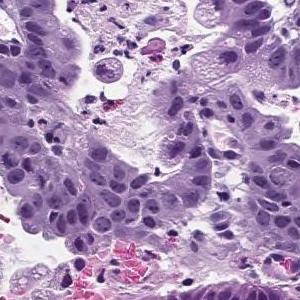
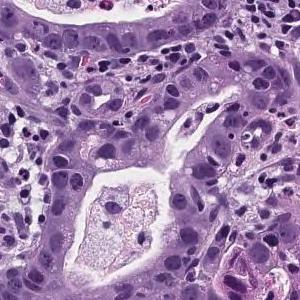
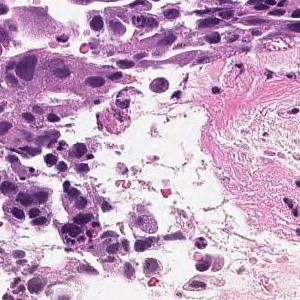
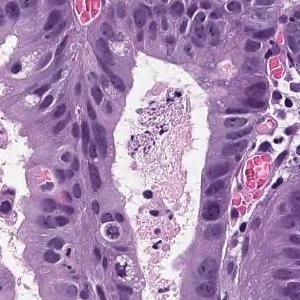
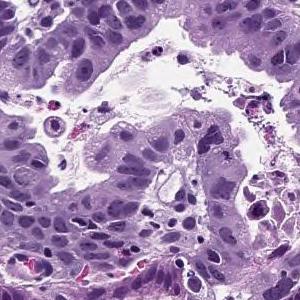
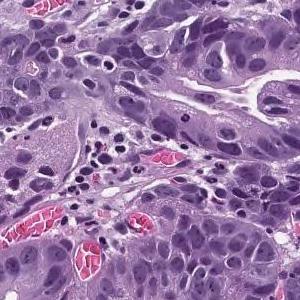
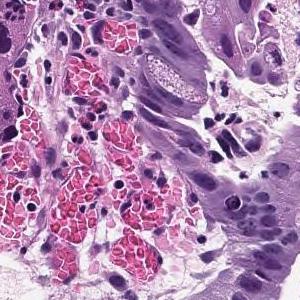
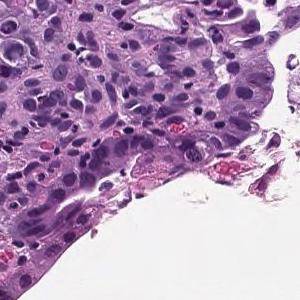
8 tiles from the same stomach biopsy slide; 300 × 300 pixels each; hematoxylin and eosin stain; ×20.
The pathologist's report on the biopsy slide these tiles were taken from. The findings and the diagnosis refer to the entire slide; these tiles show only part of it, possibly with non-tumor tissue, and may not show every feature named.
Tumor cells are large, highly columnar, large club-shaped nuclei, and are associated with chromatin aggregation. Papillary adenocarcinoma.
